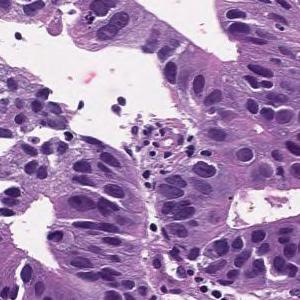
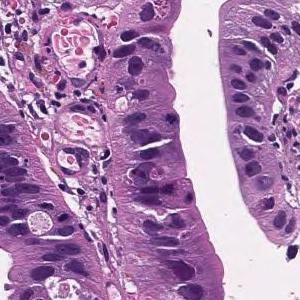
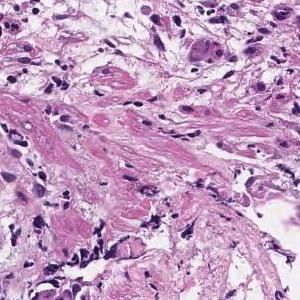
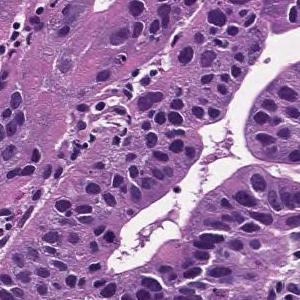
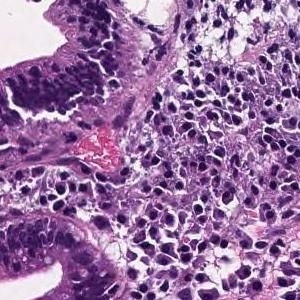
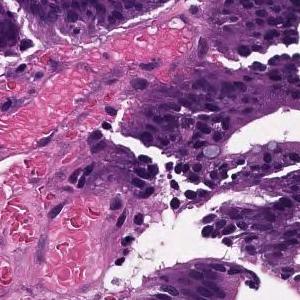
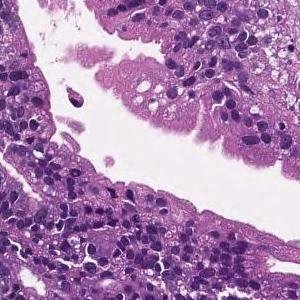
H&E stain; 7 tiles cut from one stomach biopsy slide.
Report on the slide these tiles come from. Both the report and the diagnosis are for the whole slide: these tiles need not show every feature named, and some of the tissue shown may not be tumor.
Tumor cells are large, highly columnar, large club-shaped nuclei, and are associated with chromatin aggregation. Papillary adenocarcinoma.
